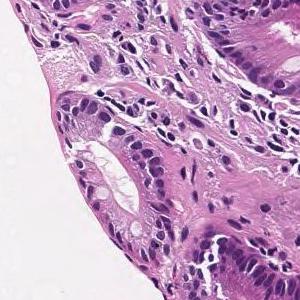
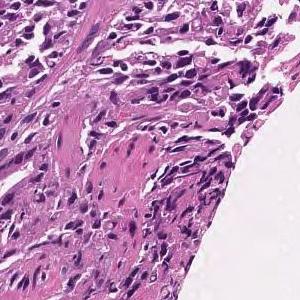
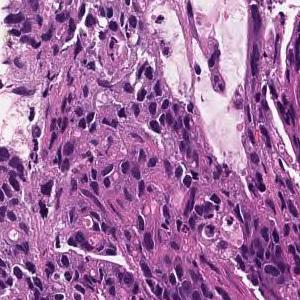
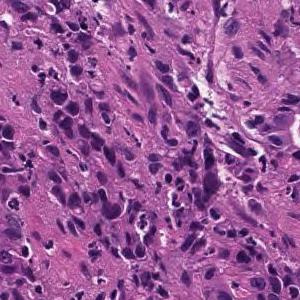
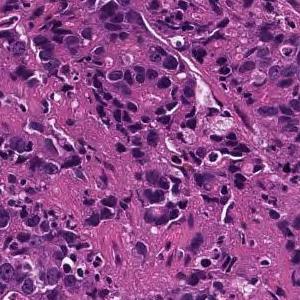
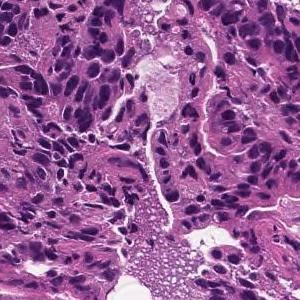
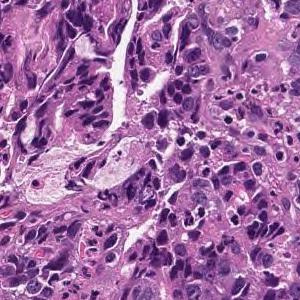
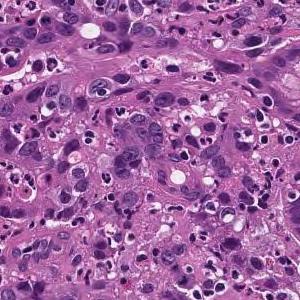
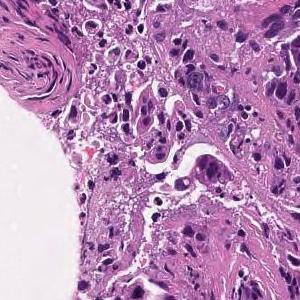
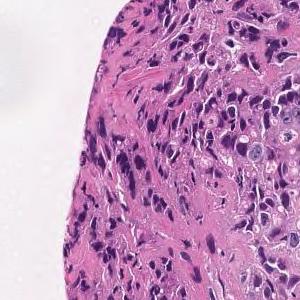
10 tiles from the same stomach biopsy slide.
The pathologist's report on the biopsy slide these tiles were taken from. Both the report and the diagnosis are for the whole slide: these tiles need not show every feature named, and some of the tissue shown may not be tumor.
In the superficial epithelium, tumor tissue that invades by forming medium-sized to small, irregular ducts is observed. moderately differentiated tubular adenocarcinoma.
